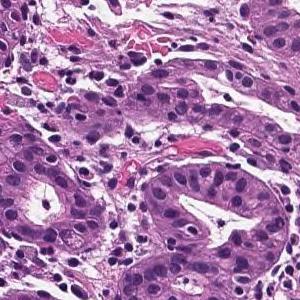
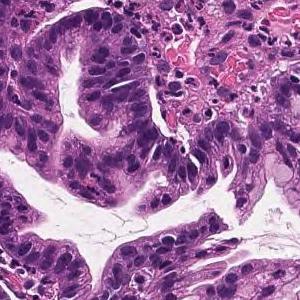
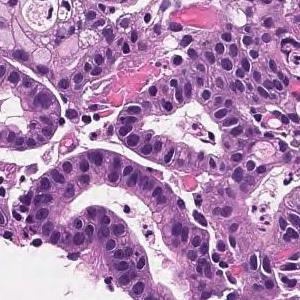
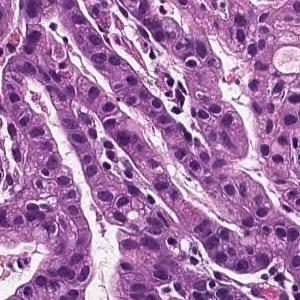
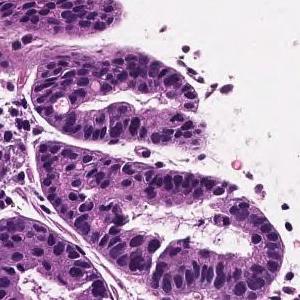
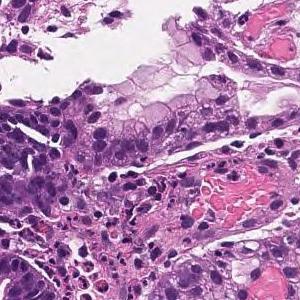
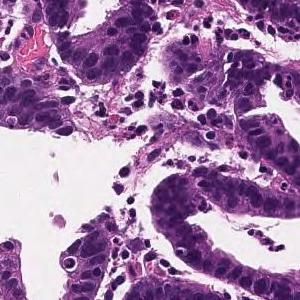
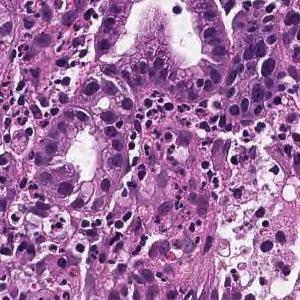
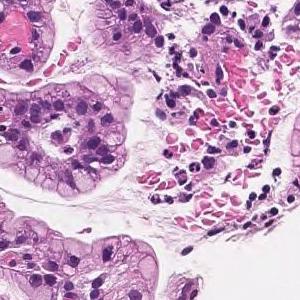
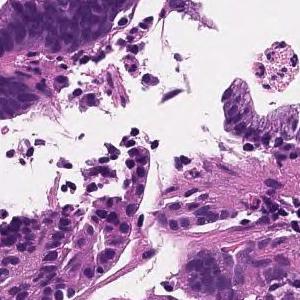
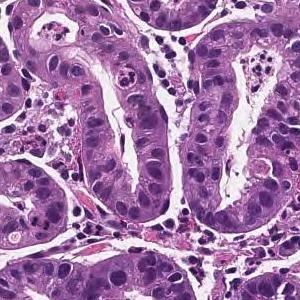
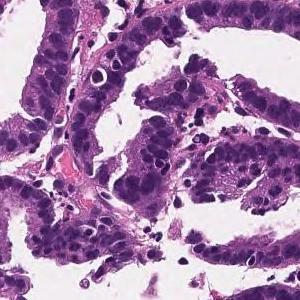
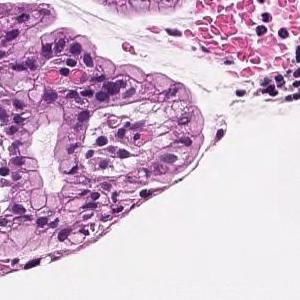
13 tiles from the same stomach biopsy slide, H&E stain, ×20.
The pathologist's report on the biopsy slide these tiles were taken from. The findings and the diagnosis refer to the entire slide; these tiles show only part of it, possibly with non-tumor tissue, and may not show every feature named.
On the superficial epithelium, tumor tissue consisting of medium-sized irregular or small round gland ducts showing a small cord-like shape and infiltrating is observed. Well differentiated tubular adenocarcinoma or Poorly differentiated adenocarcinoma, non-solid type
Labeled in the dataset as well differentiated tubular adenocarcinoma.
"Non-solid type" is a category of the Japanese Classification of Gastric Carcinoma.
